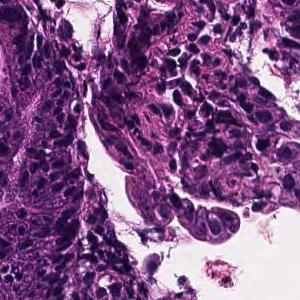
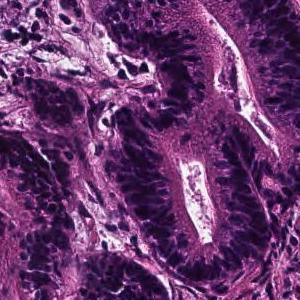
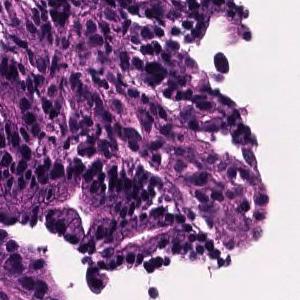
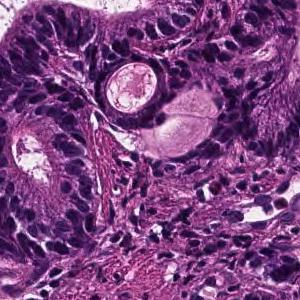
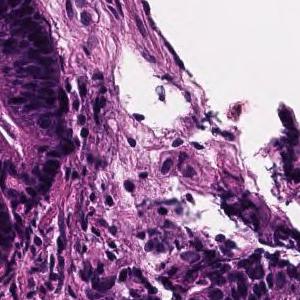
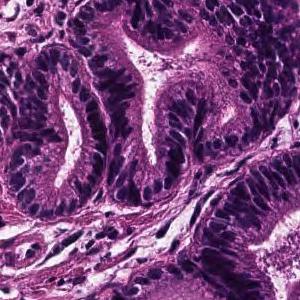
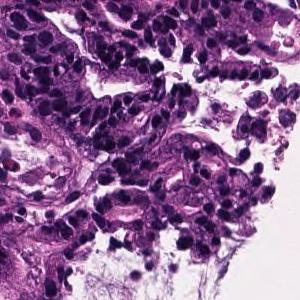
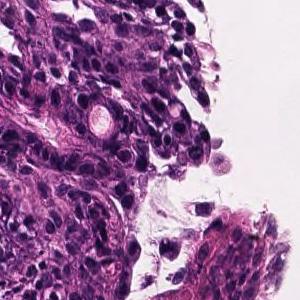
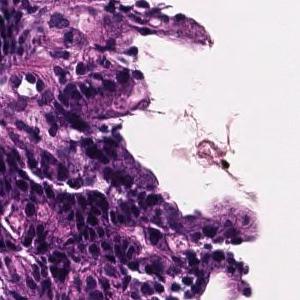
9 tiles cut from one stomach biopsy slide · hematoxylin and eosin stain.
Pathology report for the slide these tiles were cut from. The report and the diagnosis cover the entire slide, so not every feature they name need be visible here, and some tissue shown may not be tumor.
In the superficial epithelium, tumor tissue that invades by forming medium-sized to small, irregular ducts is observed. Well differentiated tubular adenocarcinoma.
